12 image tiles from a single gastric biopsy slide · H&E stain.
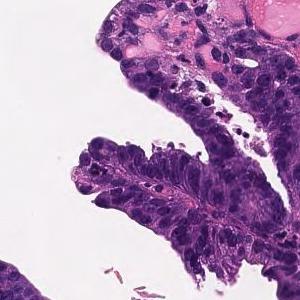
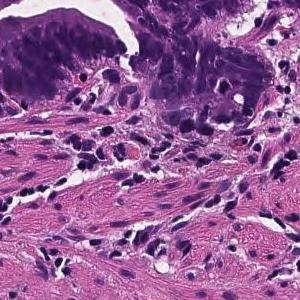
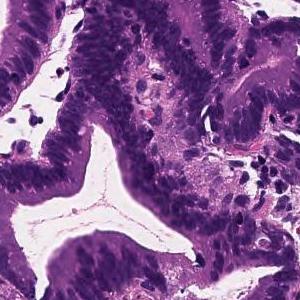
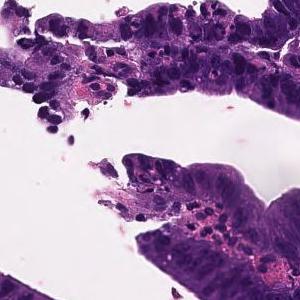
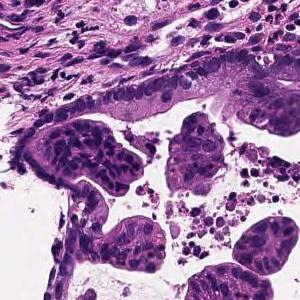
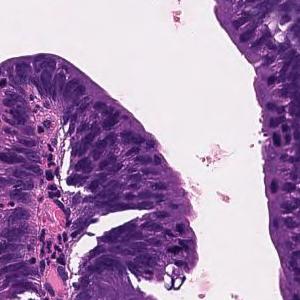
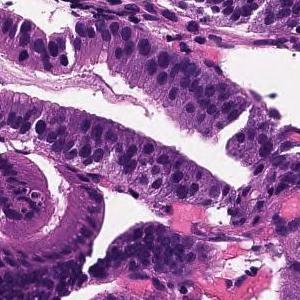
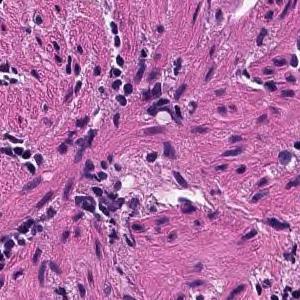
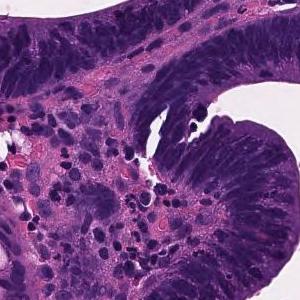
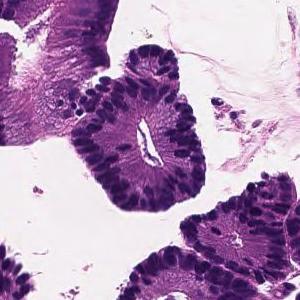
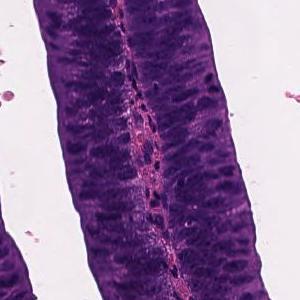
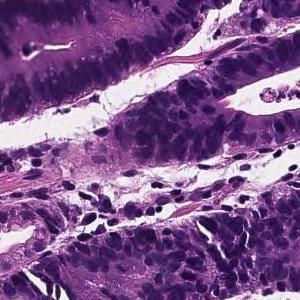
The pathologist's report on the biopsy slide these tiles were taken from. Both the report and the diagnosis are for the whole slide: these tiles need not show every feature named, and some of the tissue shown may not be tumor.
Tumor tissue consisting of large papillary structures is found in the superficial epithelium. Papillary adenocarcinoma.
